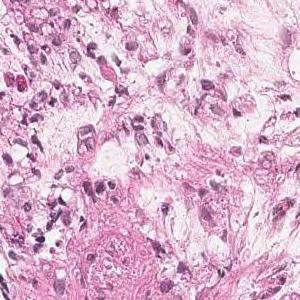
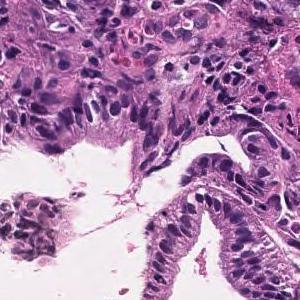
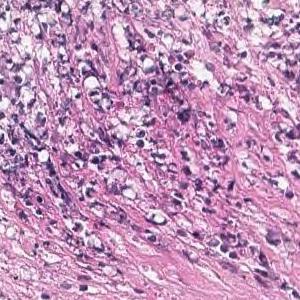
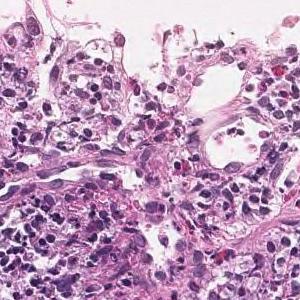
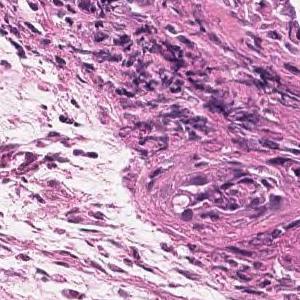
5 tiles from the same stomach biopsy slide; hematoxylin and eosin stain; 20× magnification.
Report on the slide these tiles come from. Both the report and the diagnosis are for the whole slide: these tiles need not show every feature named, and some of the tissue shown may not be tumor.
Tumor tissue is observed in which atypical epithelial cells with mucus in the vesicles proliferate while being isolated. Signet ring cell carcinoma
